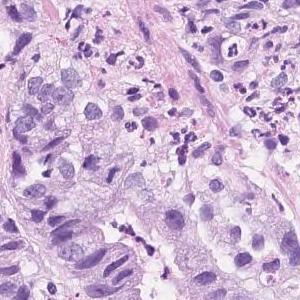
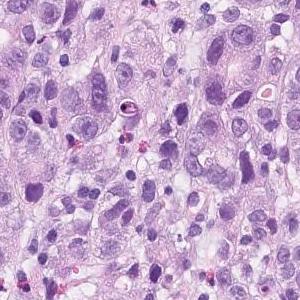
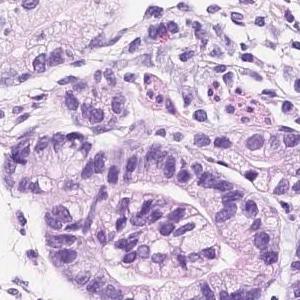
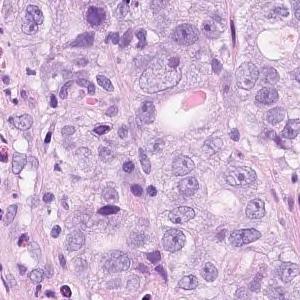
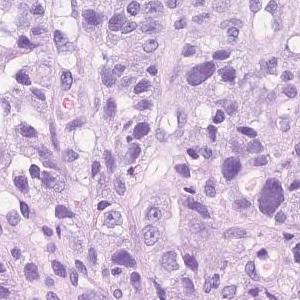
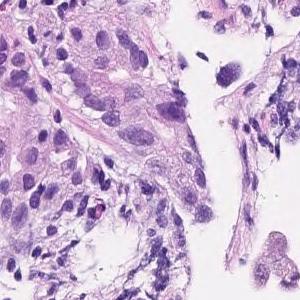
Hematoxylin and eosin stain; ×20; 6 tiles from the same stomach biopsy slide; 300 × 300 pixels each.
Diagnostic report for the slide these tiles come from. Both the report and the diagnosis are for the whole slide: these tiles need not show every feature named, and some of the tissue shown may not be tumor.
In the superficial epithelium, tumor tissue that invades by forming medium-sized to small, irregular ducts is observed. Moderately to poorly differentiated adenocarcinoma
